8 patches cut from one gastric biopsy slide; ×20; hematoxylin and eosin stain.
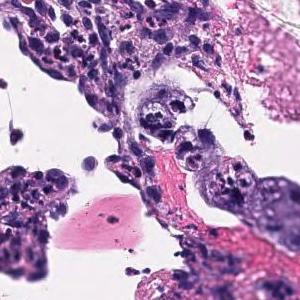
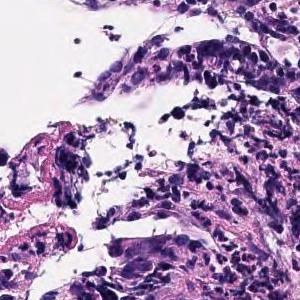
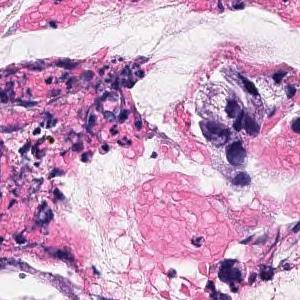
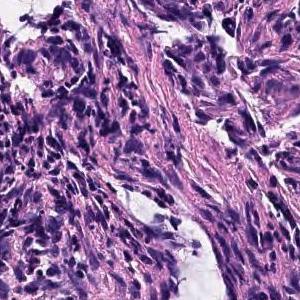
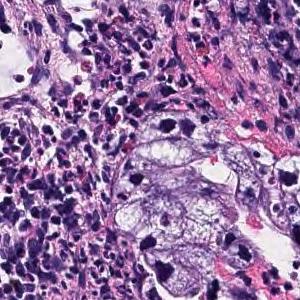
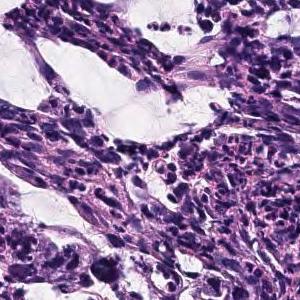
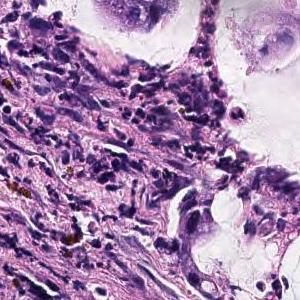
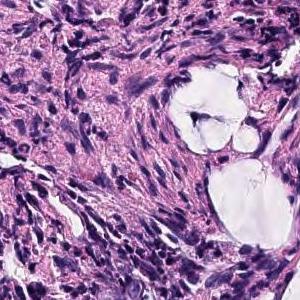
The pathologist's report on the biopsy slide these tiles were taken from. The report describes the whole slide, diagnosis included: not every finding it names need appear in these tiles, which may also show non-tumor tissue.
The superficial epithelium shows small cord-like infiltrating tumor tissue. Some part of neoplastic cells are signet ring cell type which show single invasion manner. Poorly differentiated adenocarcinoma, non-solid type.
The non-solid type named here is a Japanese Classification of Gastric Carcinoma category.
